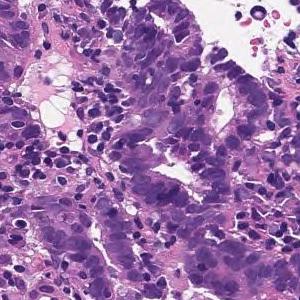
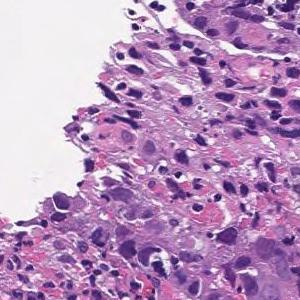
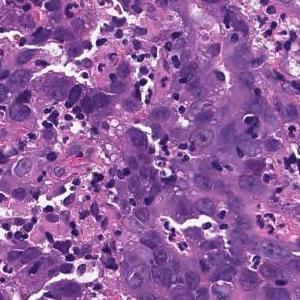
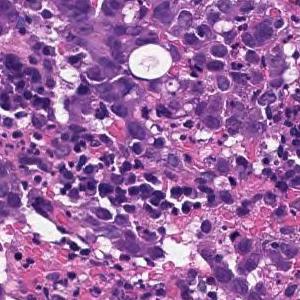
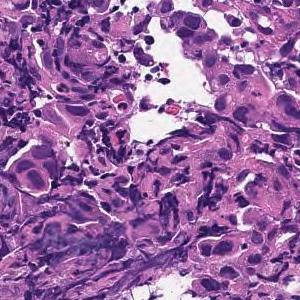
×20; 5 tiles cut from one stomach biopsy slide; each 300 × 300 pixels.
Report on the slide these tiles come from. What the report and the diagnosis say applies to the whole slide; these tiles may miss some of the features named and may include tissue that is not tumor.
Tumor tissue consisting of cord-like or small, irregular glandular ducts fused and infiltrated is observed in the superficial epithelium. Poorly differentiated adenocarcinoma, non-solid type
The non-solid type named here is a Japanese Classification of Gastric Carcinoma category.
